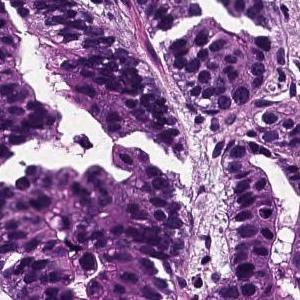
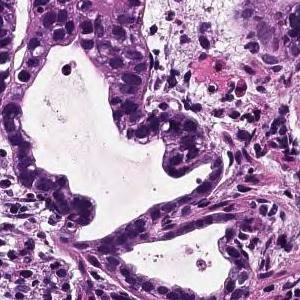
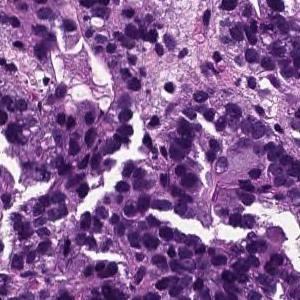
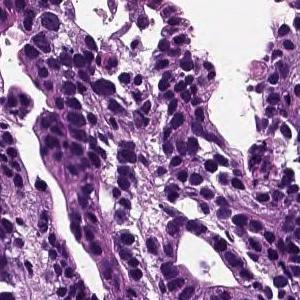
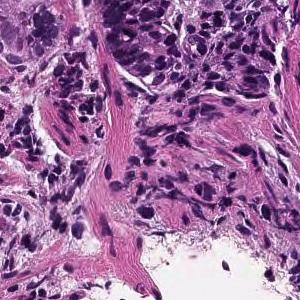
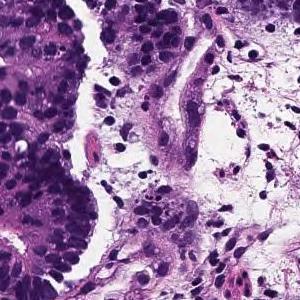
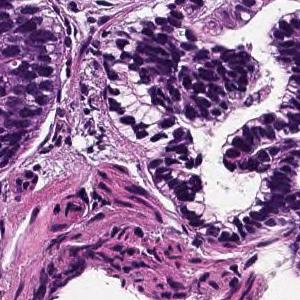
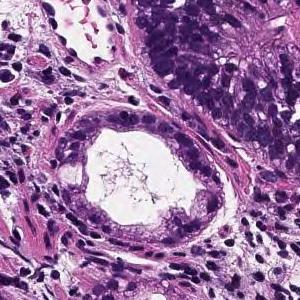
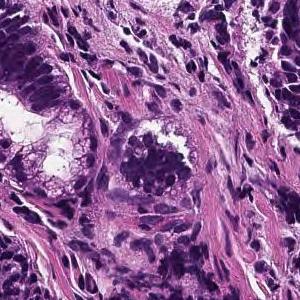
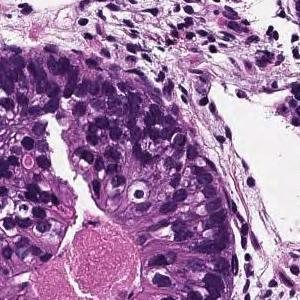
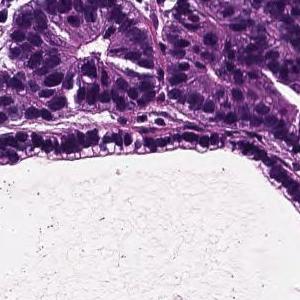
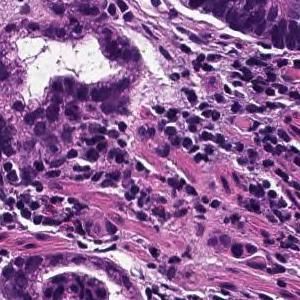
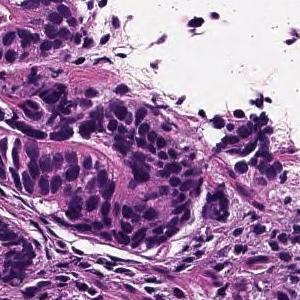
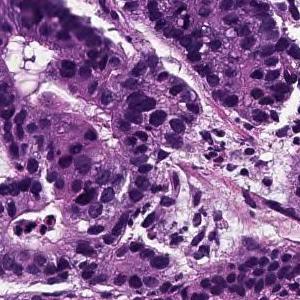
14 patches cut from one gastric biopsy slide · ×20.
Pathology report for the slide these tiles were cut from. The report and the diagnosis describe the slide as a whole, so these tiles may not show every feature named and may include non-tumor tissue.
On the superficial epithelium, tumor tissue is found in which medium-sized irregular gland ducts fuse with each other and infiltrate. moderately differentiated tubular adenocarcinoma
